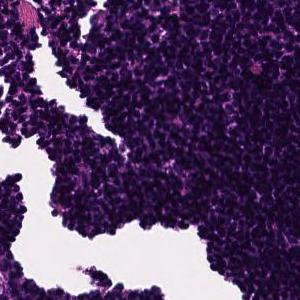
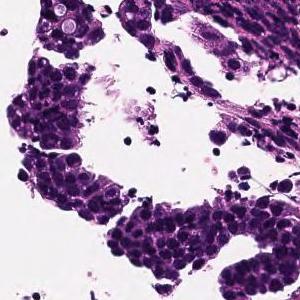
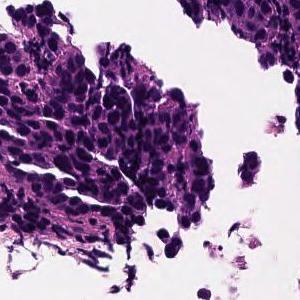
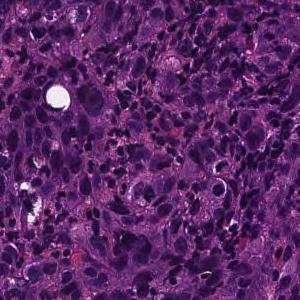
Hematoxylin and eosin stain, scanned at ×20, 4 patches cut from one gastric biopsy slide, 300×300 px each.
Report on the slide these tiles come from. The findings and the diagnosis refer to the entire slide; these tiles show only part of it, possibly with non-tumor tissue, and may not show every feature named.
Tumor tissue consisting of cord-like or small, irregular glandular ducts fused and infiltrated is observed in the superficial epithelium. Poorly differentiated adenocarcinoma, non-solid type
The non-solid type named here is a Japanese Classification of Gastric Carcinoma category.
